6 tiles from the same stomach biopsy slide.
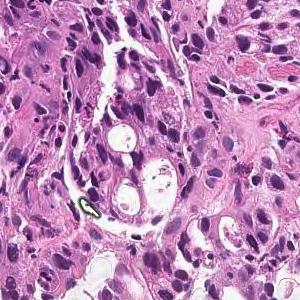
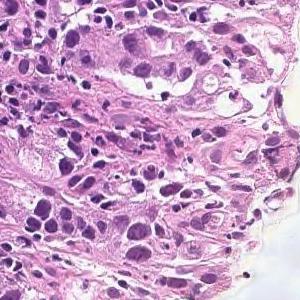
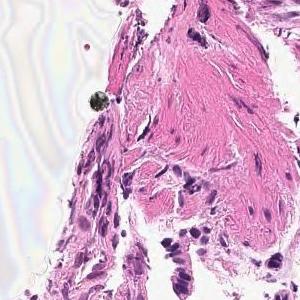
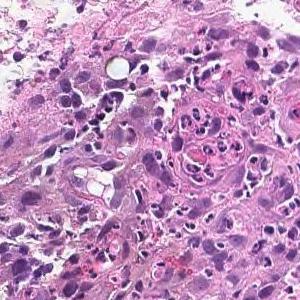
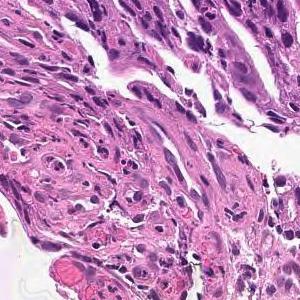
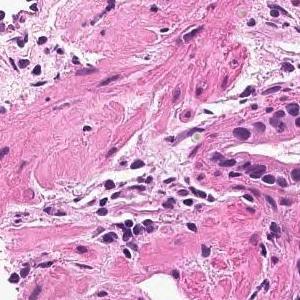
Pathology report for the biopsy slide these tiles were cut from. The report and the diagnosis cover the entire slide, so not every feature they name need be visible here, and some tissue shown may not be tumor.
On the superficial epithelium, tumor tissue consisting of large irregular glandular ducts partially fused and infiltrated is observed. Well to moderately differentiated tubular adenocarcinoma (well differentiated tubular adenocarcinoma, moderately differentiated tubular adenocarcinoma)
Tumor subtype: well to moderately differentiated tubular adenocarcinoma.
